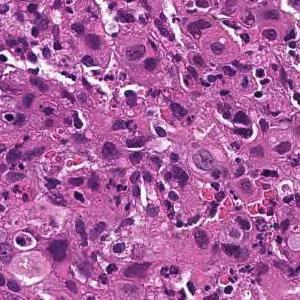
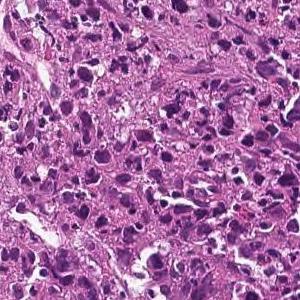
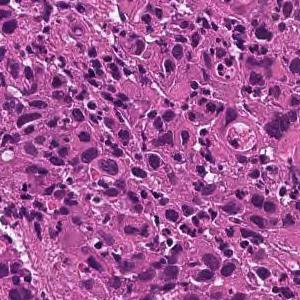
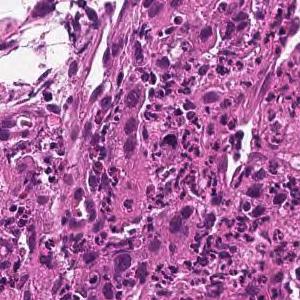
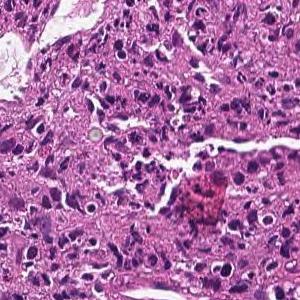
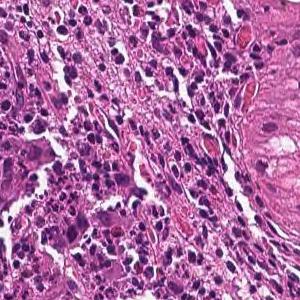
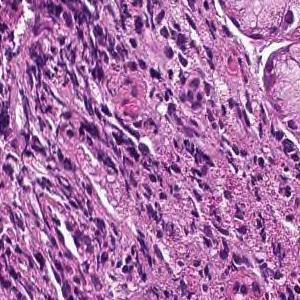
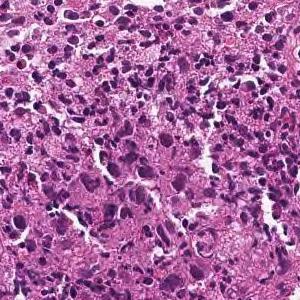
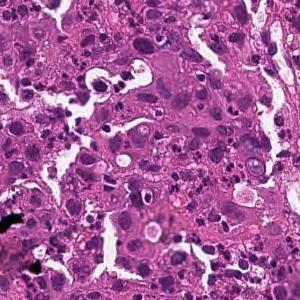
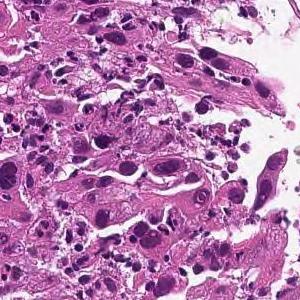
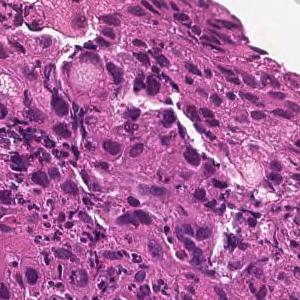
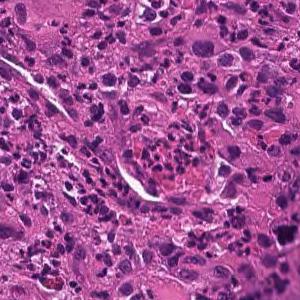
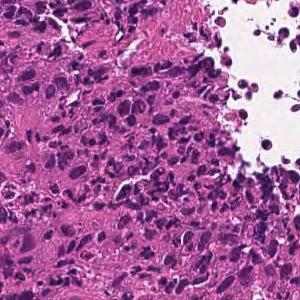
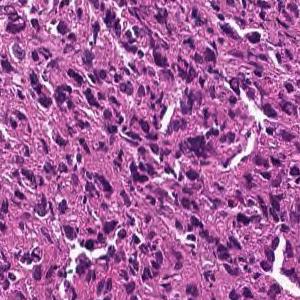
14 image tiles from a single gastric biopsy slide; H&E stain; 20× magnification.
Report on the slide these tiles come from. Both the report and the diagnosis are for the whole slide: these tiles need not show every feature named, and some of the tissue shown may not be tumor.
The superficial epithelium shows a large sheet-like shape, and some tumor tissue infiltrates with small irregular ducts. Poorly differentiated adenocarcinoma, solid-type
Histological subtype: Poorly differentiated adenocarcinoma, solid type. This name comes from the Japanese Classification of Gastric Carcinoma; the WHO 2019 classification calls it tubular adenocarcinoma, poorly differentiated.
